6 tiles cut from one stomach biopsy slide; H&E.
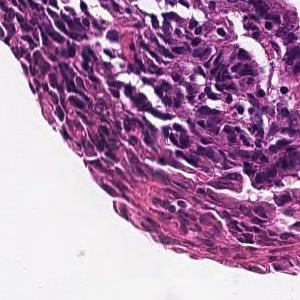
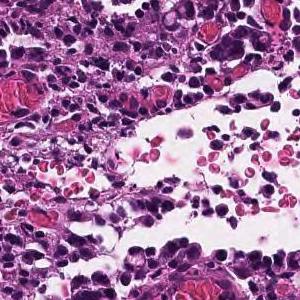
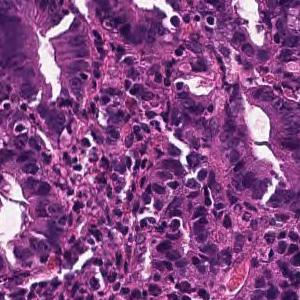
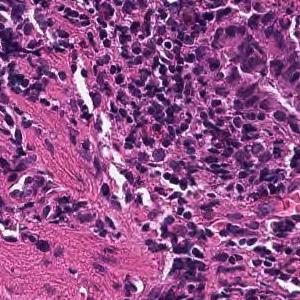
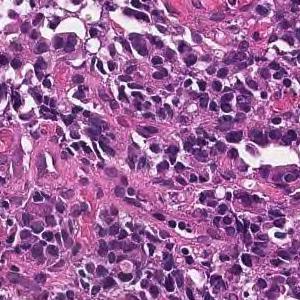
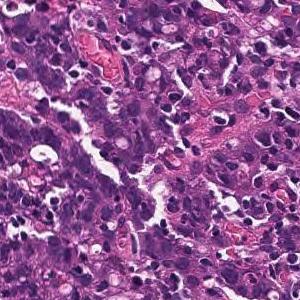
Report on the slide these tiles come from. The report describes the whole slide, diagnosis included: not every finding it names need appear in these tiles, which may also show non-tumor tissue.
In the superficial epithelium, tumor tissue that invades by forming medium-sized to small, irregular ducts is observed. moderately differentiated tubular adenocarcinoma.
